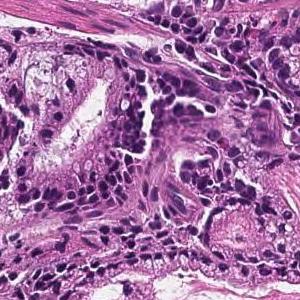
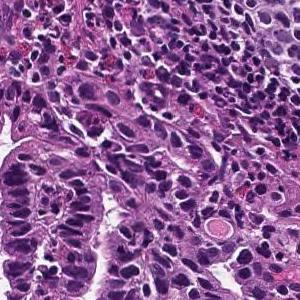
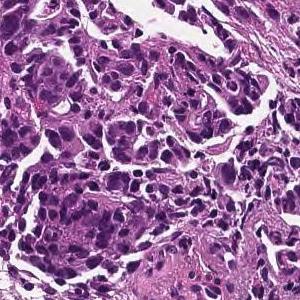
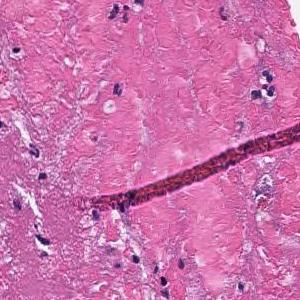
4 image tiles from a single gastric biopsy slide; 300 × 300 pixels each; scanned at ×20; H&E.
Pathology report for the slide these tiles were cut from. What the report and the diagnosis say applies to the whole slide; these tiles may miss some of the features named and may include tissue that is not tumor.
On the superficial epithelium, tumor tissue that infiltrates by forming medium-sized papillary or small irregular ducts is observed. Papillary adenocarcinoma
